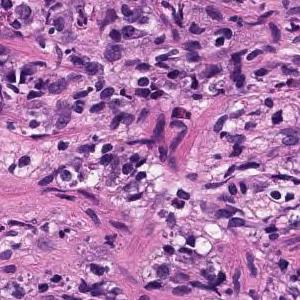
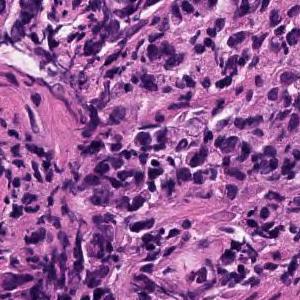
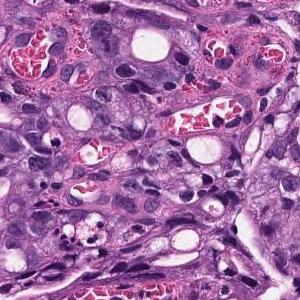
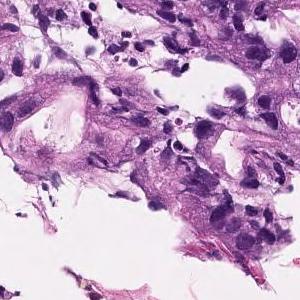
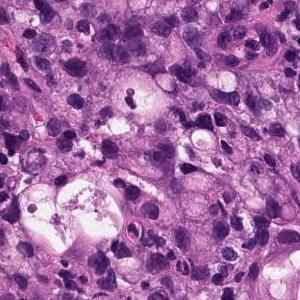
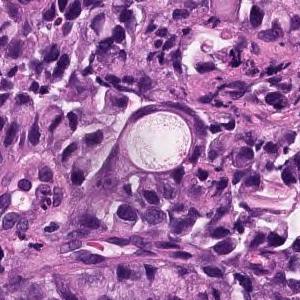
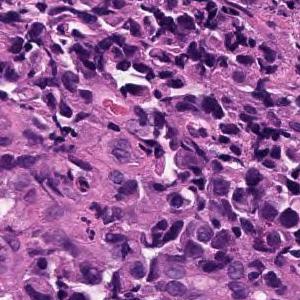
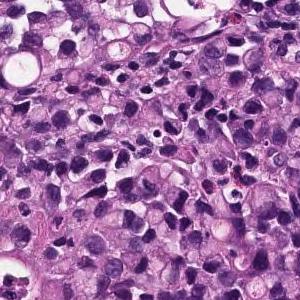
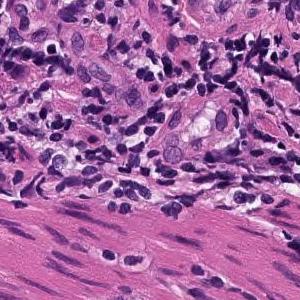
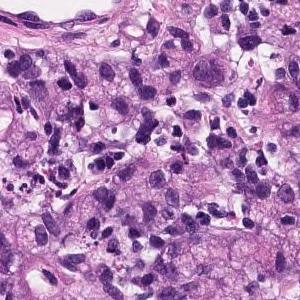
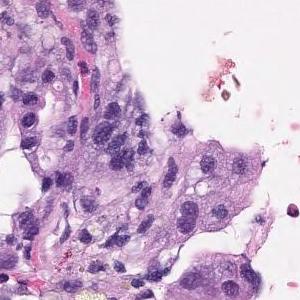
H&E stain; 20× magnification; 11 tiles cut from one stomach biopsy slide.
Pathology report for the slide these tiles were cut from. The findings and the diagnosis refer to the entire slide; these tiles show only part of it, possibly with non-tumor tissue, and may not show every feature named.
Atypical epithelium forms irregularly fused gland ducts and proliferates. Poorly differentiated adenocarcinoma.
Histologic type: Poorly differentiated adenocarcinoma, non-solid type.
"Non-solid type" is a category of the Japanese Classification of Gastric Carcinoma.
